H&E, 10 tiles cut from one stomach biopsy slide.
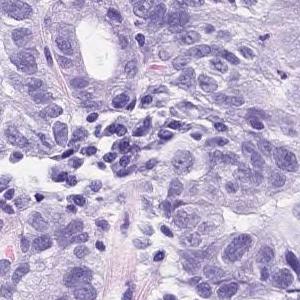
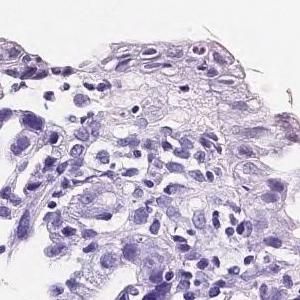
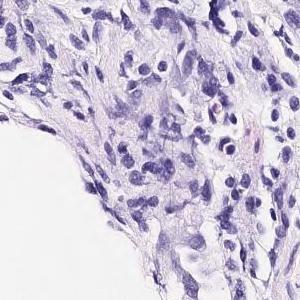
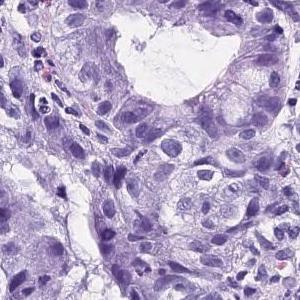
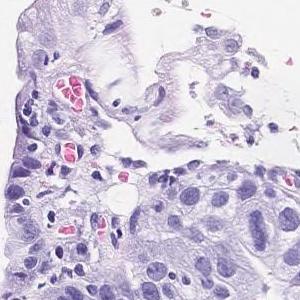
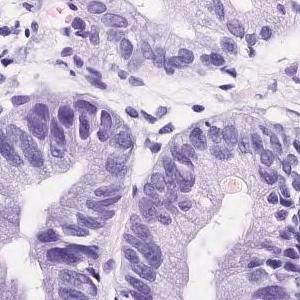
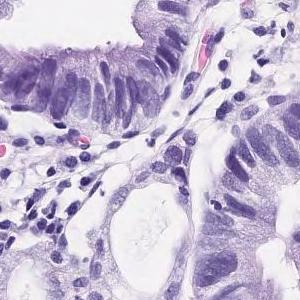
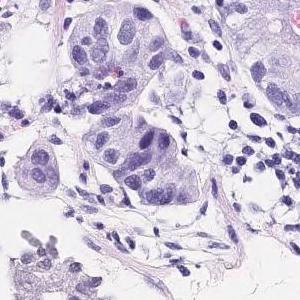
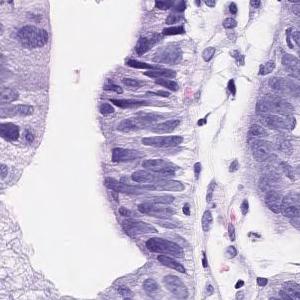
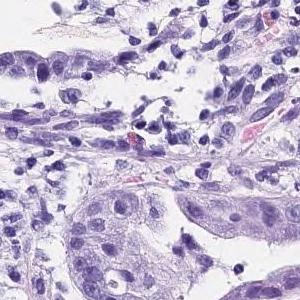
Pathology report for the biopsy slide these tiles were cut from. The findings and the diagnosis refer to the entire slide; these tiles show only part of it, possibly with non-tumor tissue, and may not show every feature named.
Tumor tissue consisting of medium-sized and irregular ducts is observed infiltrating in the superficial epithelium. Tumor cells are highly columnar, with nuclei aligned basolaterally and polarized. Well differentiated tubular adenocarcinoma.
